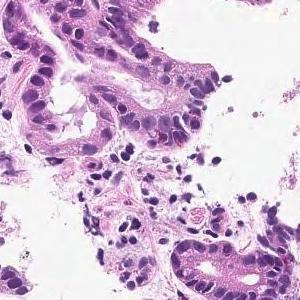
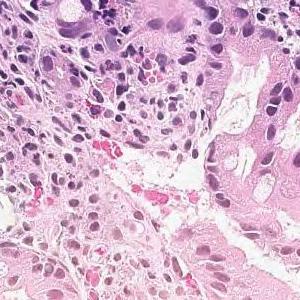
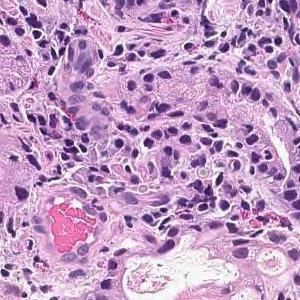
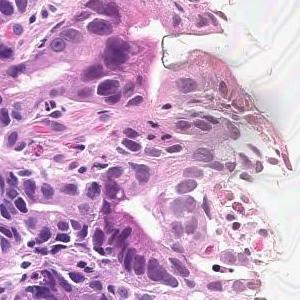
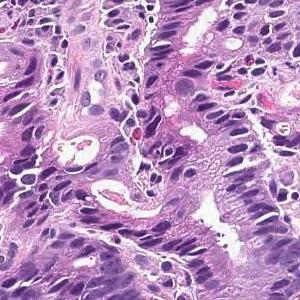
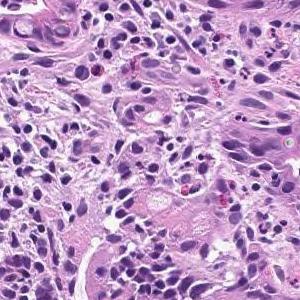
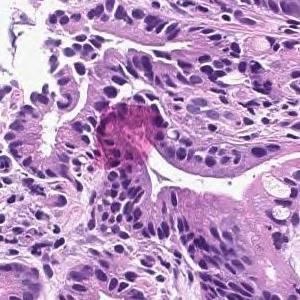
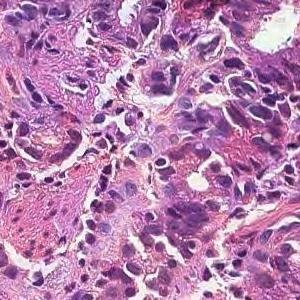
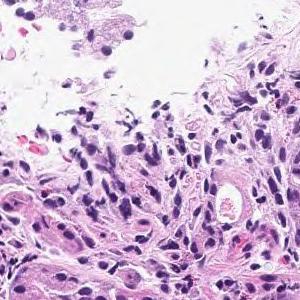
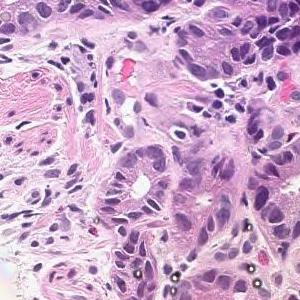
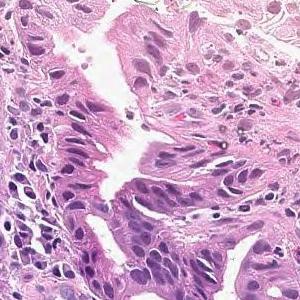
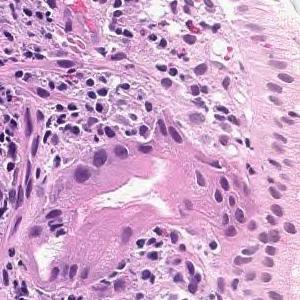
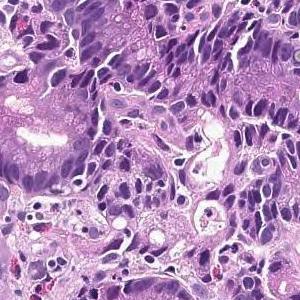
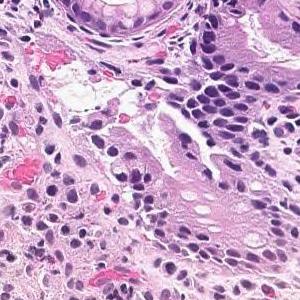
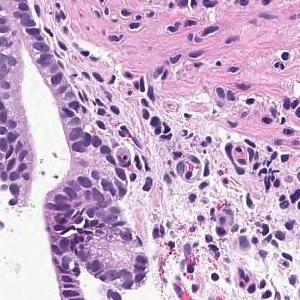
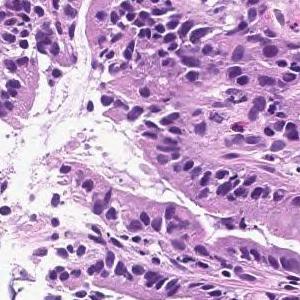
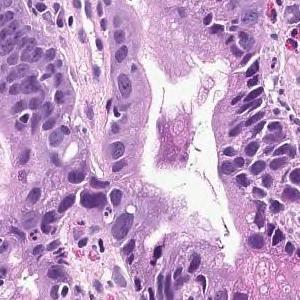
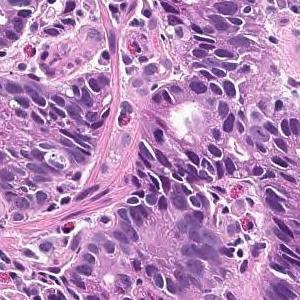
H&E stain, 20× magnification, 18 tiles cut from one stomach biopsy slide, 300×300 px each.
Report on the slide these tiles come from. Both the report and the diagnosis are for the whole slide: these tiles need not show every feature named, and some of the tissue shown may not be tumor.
In the superficial epithelium, tumor tissue that invades by forming medium-sized to small, irregular ducts is observed. moderately differentiated tubular adenocarcinoma.
